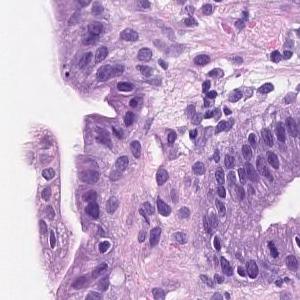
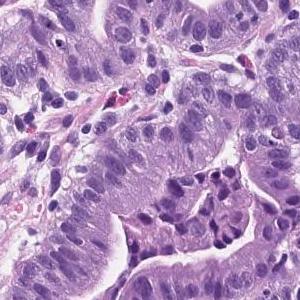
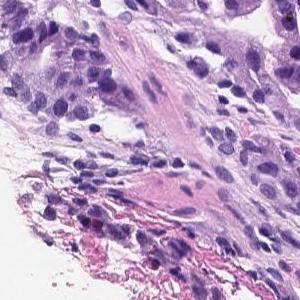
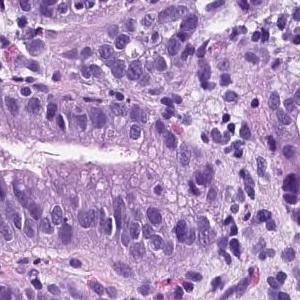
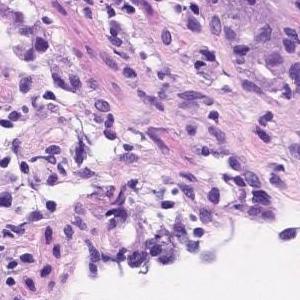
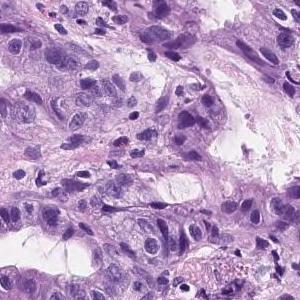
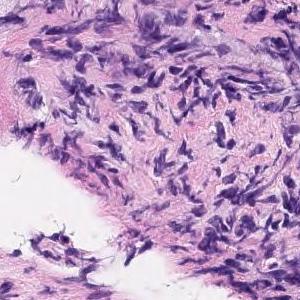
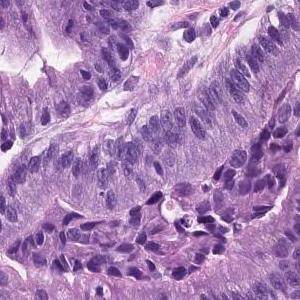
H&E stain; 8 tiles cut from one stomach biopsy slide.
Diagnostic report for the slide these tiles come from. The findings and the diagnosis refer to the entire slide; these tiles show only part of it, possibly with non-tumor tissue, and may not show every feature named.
Tumor tissue consisting of medium-sized and irregular ducts is observed infiltrating in the superficial epithelium. Tumor cells are highly columnar, with nuclei aligned basolaterally and polarized. Well differentiated tubular adenocarcinoma.
